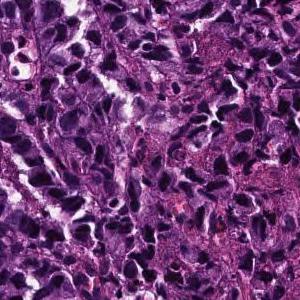
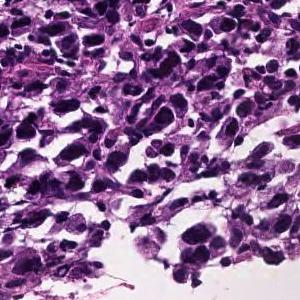
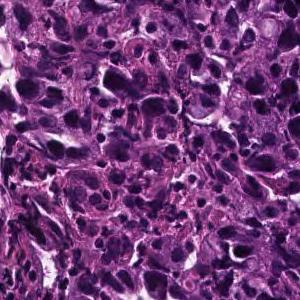
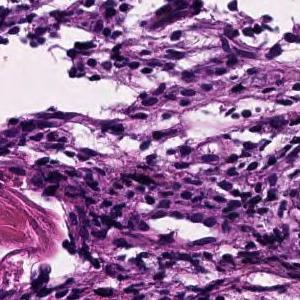
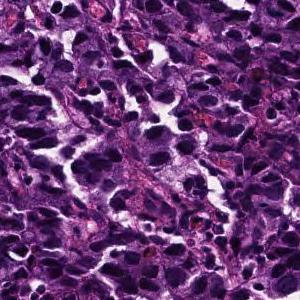
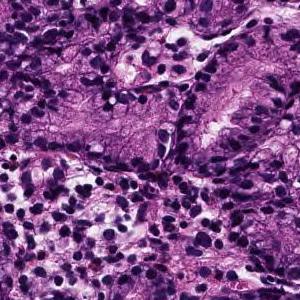
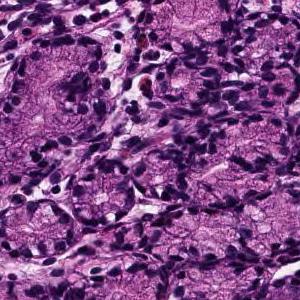
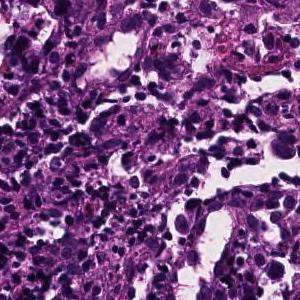
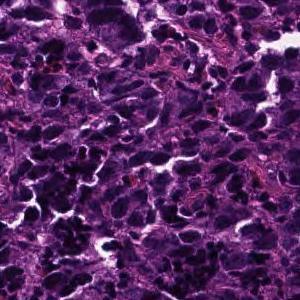
Hematoxylin and eosin stain, 9 tiles from the same stomach biopsy slide, 300×300 px each.
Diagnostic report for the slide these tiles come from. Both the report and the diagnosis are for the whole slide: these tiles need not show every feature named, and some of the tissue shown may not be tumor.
The superficial epithelium shows a large sheet-like shape, and some tumor tissues infiltrate with a small cord-like structure. Poorly differentiated adenocarcinoma, solid type (poorly differentiated adenocarcinoma, solid type)
Tumor subtype: poorly differentiated adenocarcinoma, solid type, a category of the Japanese Classification of Gastric Carcinoma; in the WHO 2019 classification it is tubular adenocarcinoma, poorly differentiated.
